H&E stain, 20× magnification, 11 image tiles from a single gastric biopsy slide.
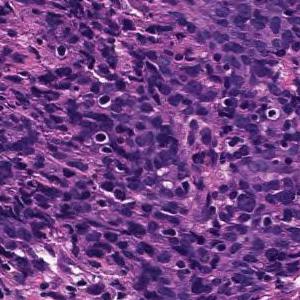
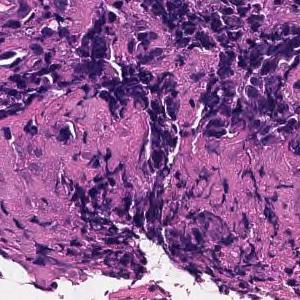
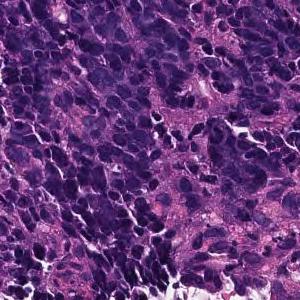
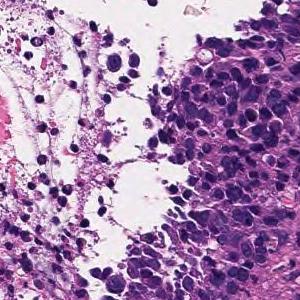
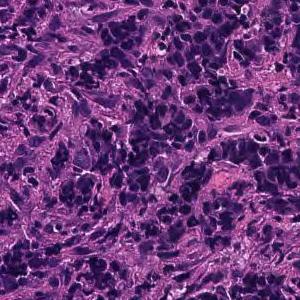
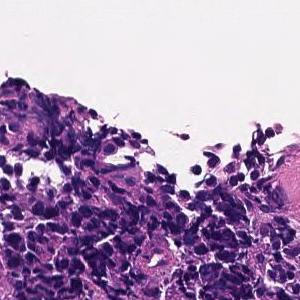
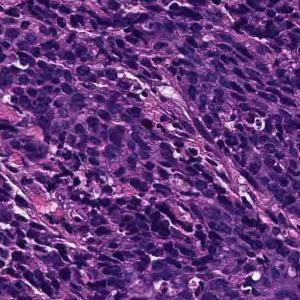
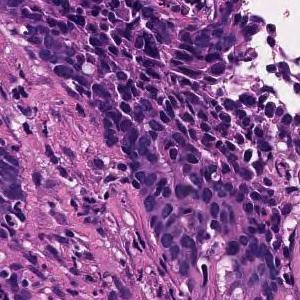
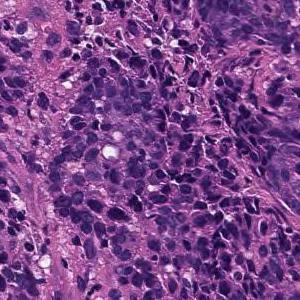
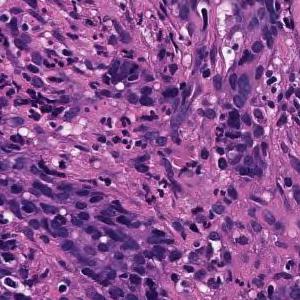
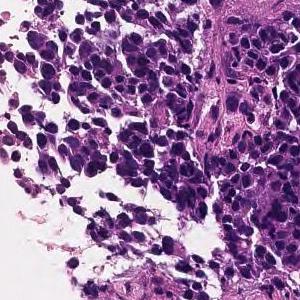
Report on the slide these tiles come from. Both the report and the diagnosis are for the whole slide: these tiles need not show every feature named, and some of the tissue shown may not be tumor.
Tumor tissue consisting of cord-like or small, irregular glandular ducts fused and infiltrated is observed in the superficial epithelium. Poorly differentiated adenocarcinoma, non-solid type
"Non-solid type" is a category of the Japanese Classification of Gastric Carcinoma.
